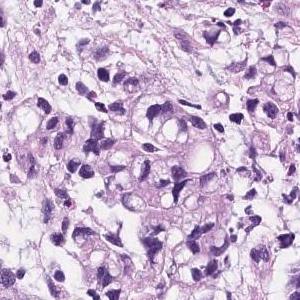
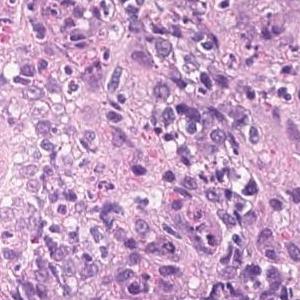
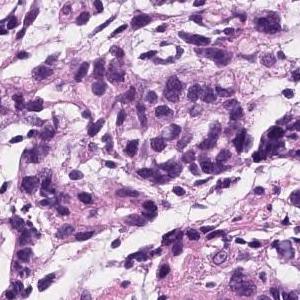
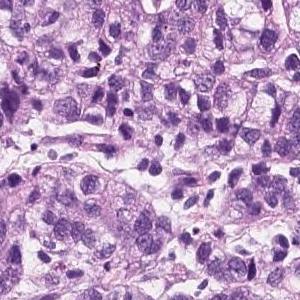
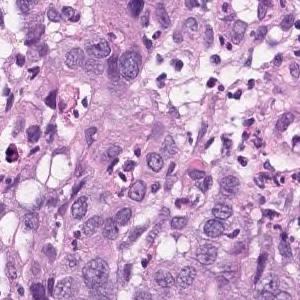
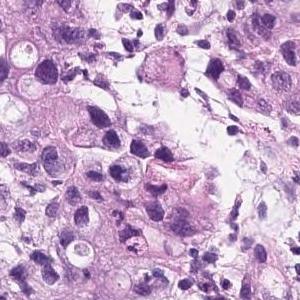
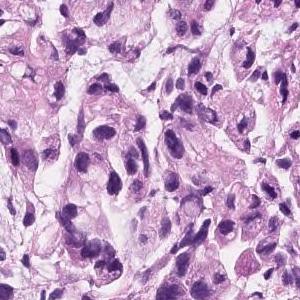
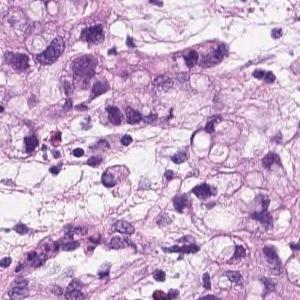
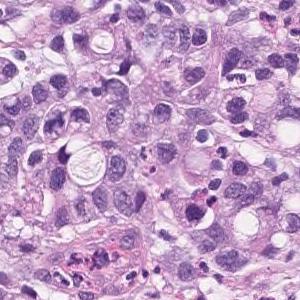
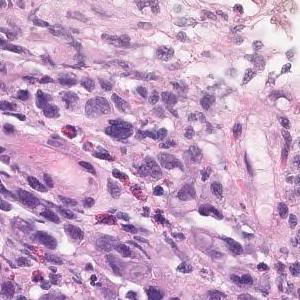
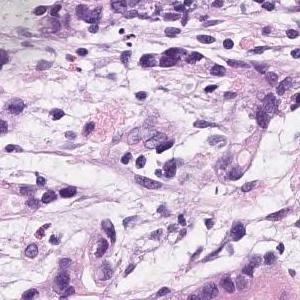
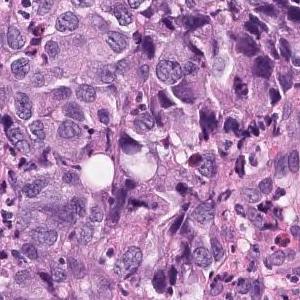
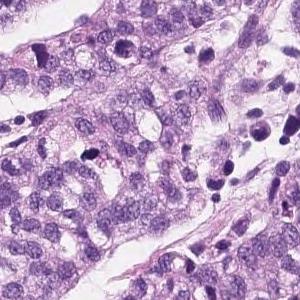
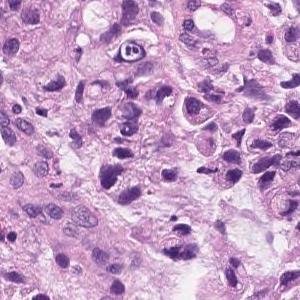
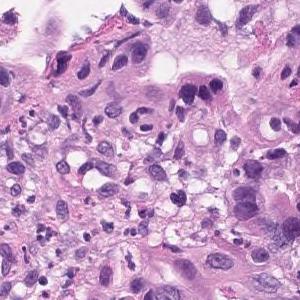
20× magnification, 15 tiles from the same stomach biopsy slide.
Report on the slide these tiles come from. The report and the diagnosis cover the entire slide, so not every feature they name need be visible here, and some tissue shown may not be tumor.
Group 5, Adenocarcinoma. Poorly differentiated adenocarcinoma, non-solid type
The non-solid type named here is a Japanese Classification of Gastric Carcinoma category.
